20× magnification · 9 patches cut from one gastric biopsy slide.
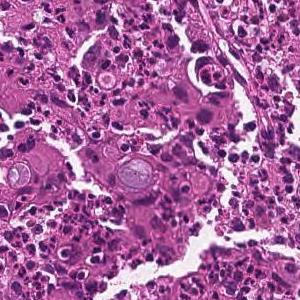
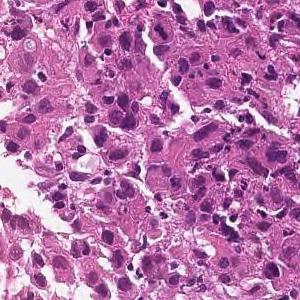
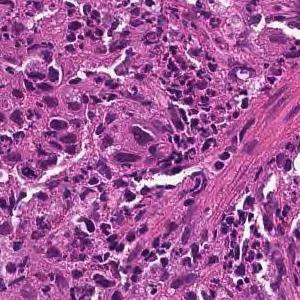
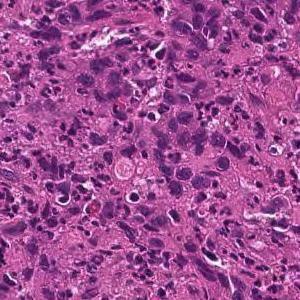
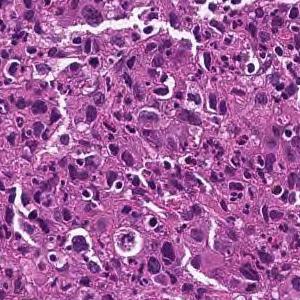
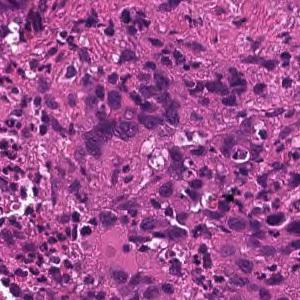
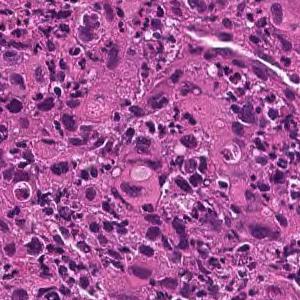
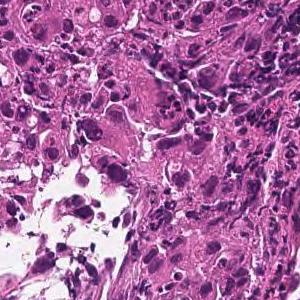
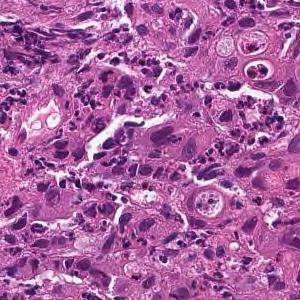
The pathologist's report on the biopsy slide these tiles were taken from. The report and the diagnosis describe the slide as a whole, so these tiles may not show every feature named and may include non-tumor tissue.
The superficial epithelium shows a large sheet-like shape, and some tumor tissue infiltrates with small irregular ducts. Poorly differentiated adenocarcinoma, solid-type
Histological subtype: Poorly differentiated adenocarcinoma, solid type (Japanese Classification of Gastric Carcinoma). The WHO 2019 equivalent is tubular adenocarcinoma, poorly differentiated.
